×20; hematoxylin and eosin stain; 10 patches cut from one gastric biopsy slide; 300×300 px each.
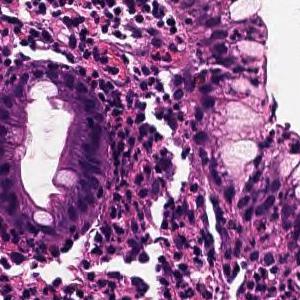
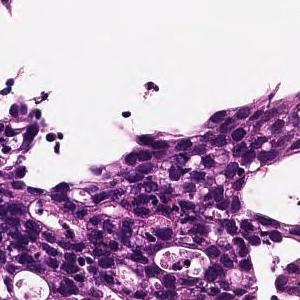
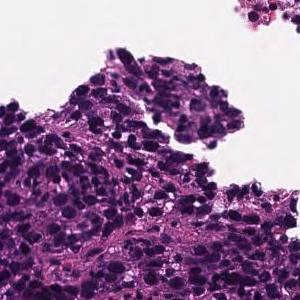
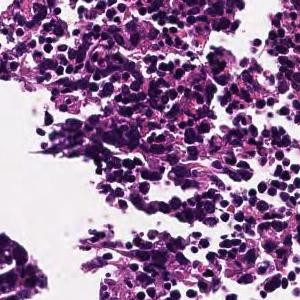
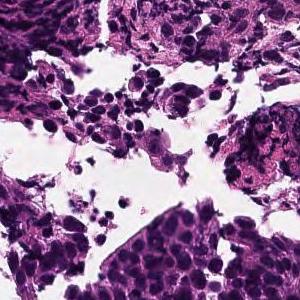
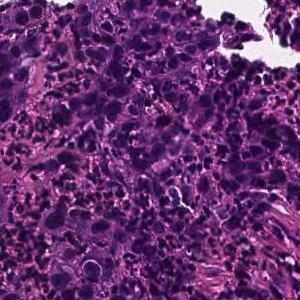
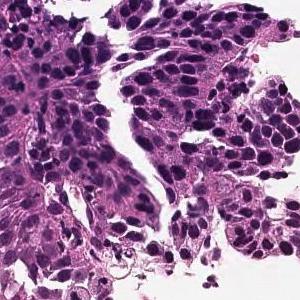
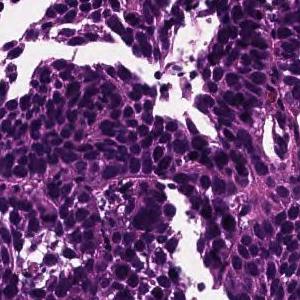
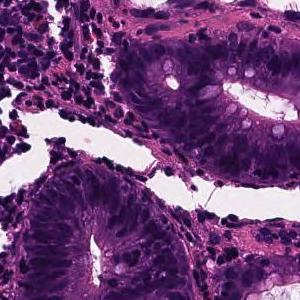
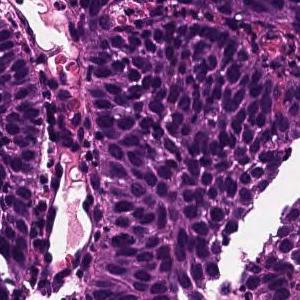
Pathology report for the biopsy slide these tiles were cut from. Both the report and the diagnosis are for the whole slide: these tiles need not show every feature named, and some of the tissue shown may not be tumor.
Tumor tissue consisting of cord-like or small, irregular glandular ducts fused and infiltrated is observed in the superficial epithelium. Poorly differentiated adenocarcinoma, non-solid type
The non-solid type named here is a Japanese Classification of Gastric Carcinoma category.
